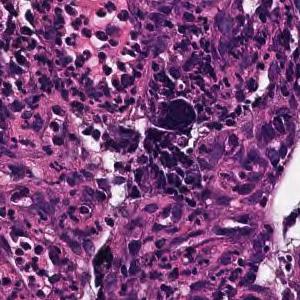
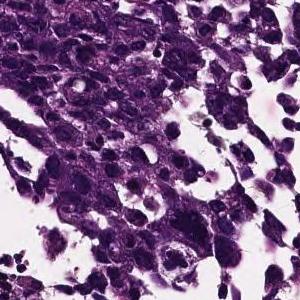
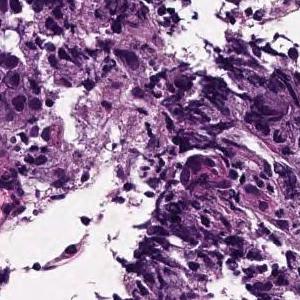
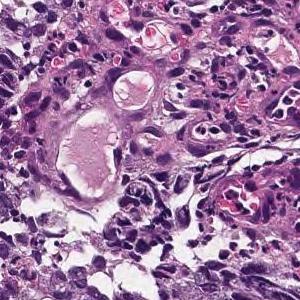
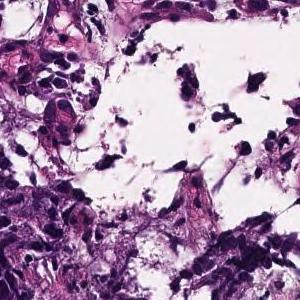
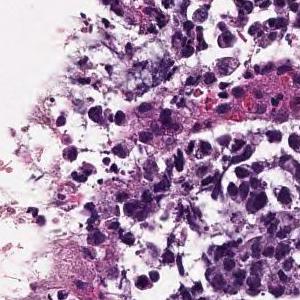
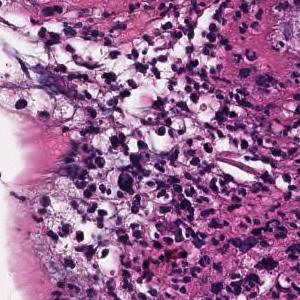
Scanned at ×20, 7 image tiles from a single gastric biopsy slide, 300 × 300 pixels each.
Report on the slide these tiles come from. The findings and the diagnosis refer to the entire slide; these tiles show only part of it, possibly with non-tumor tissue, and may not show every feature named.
The superficial epithelium shows a large sheet-like shape, and some tumor tissue infiltrates with small irregular ducts. Poorly differentiated adenocarcinoma, solid-type
Histologic type: Poorly differentiated adenocarcinoma, solid type, a category of the Japanese Classification of Gastric Carcinoma; in the WHO 2019 classification it is tubular adenocarcinoma, poorly differentiated.
